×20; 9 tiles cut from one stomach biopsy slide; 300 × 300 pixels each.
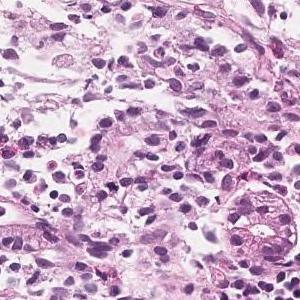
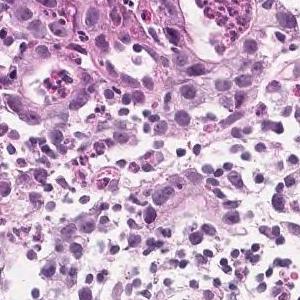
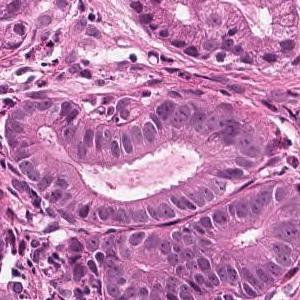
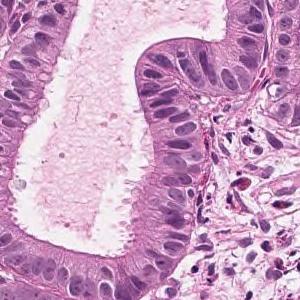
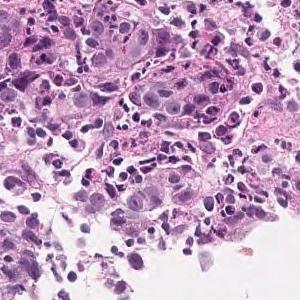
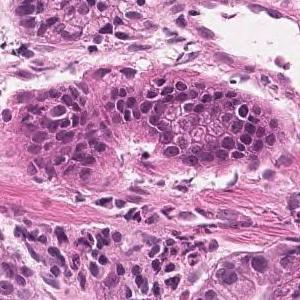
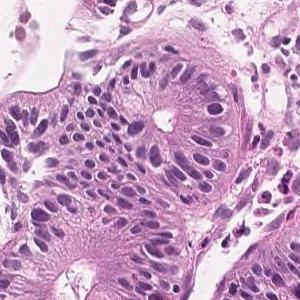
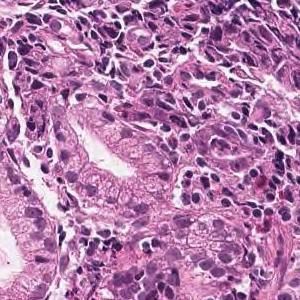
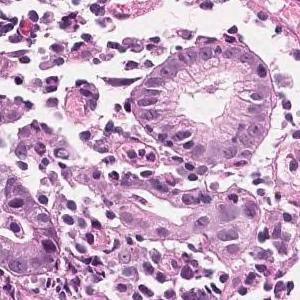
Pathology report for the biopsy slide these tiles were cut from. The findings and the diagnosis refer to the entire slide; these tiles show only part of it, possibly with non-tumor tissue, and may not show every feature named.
On the superficial epithelium, tumor tissue consisting of large, irregular glandular ducts partially fused and infiltrated is observed. Well to moderately differentiated tubular adenocarcinoma (well differentiated tubular adenocarcinoma, moderately differentiated tubular adenocarcinoma)
Tumor subtype: well to moderately differentiated tubular adenocarcinoma.
